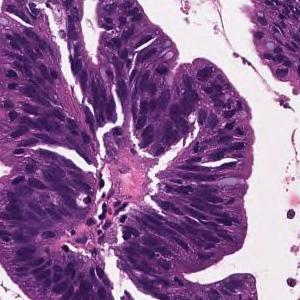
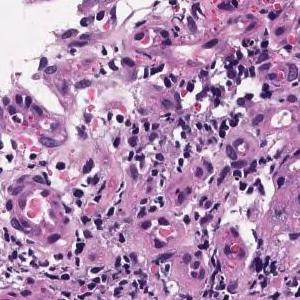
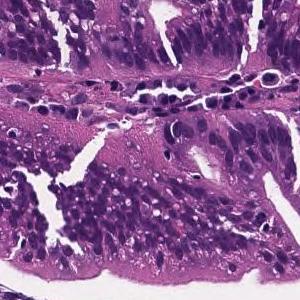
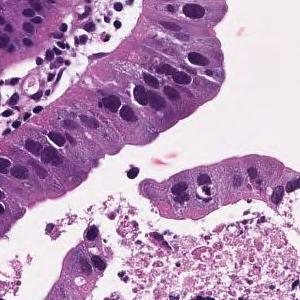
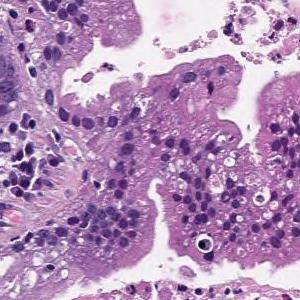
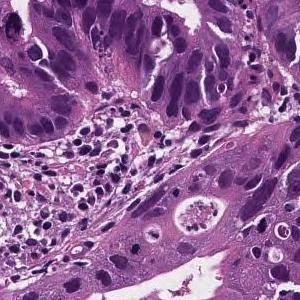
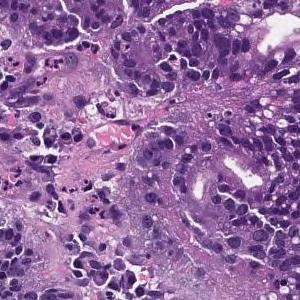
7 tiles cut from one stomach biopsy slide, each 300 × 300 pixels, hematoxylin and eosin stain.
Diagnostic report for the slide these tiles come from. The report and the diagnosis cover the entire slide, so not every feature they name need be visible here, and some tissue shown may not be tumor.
Tumor cells are large, highly columnar, large club-shaped nuclei, and are associated with chromatin aggregation. Papillary adenocarcinoma.
